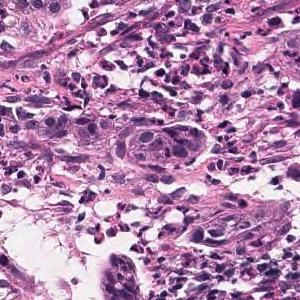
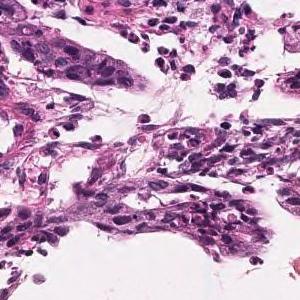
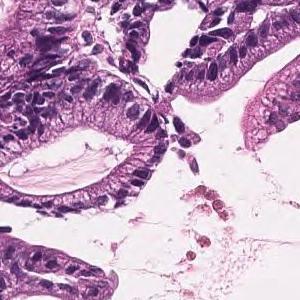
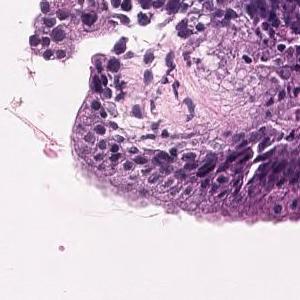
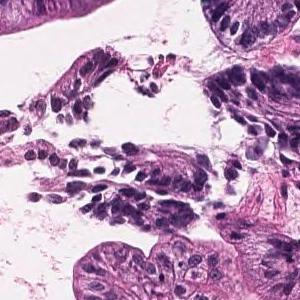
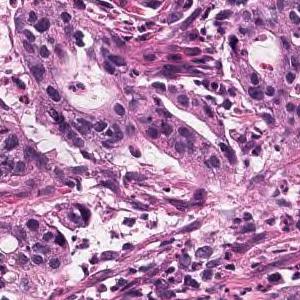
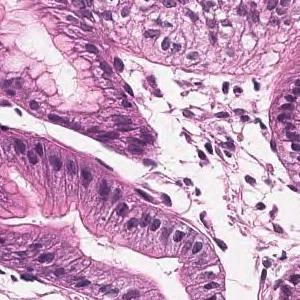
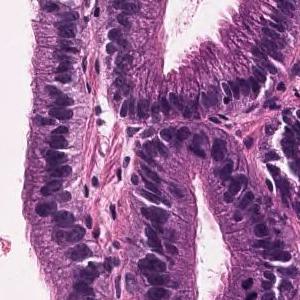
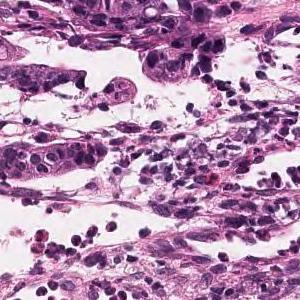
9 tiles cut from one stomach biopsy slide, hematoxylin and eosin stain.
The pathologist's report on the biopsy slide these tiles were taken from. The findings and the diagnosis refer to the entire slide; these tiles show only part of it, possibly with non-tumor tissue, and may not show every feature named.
Tumor tissue that grows invasively while the short atypical epithelium forms small ducts is observed. moderately differentiated tubular adenocarcinoma
